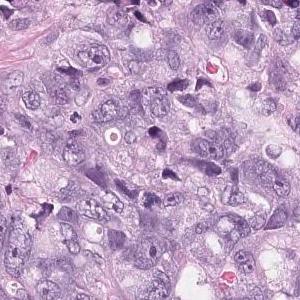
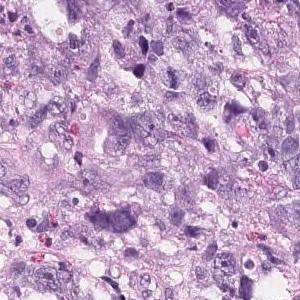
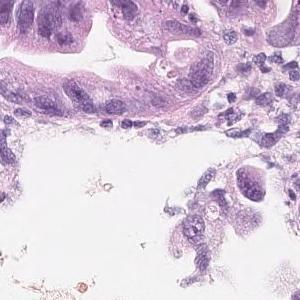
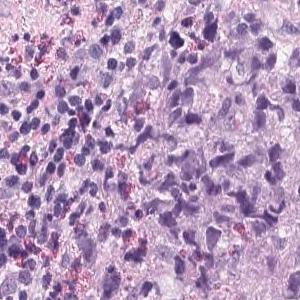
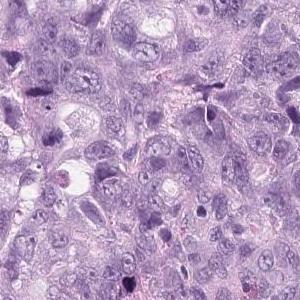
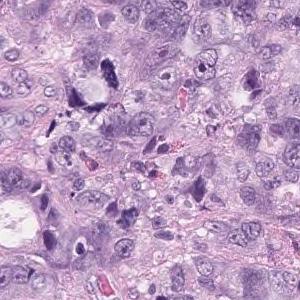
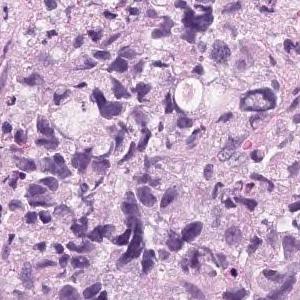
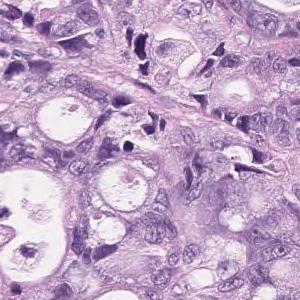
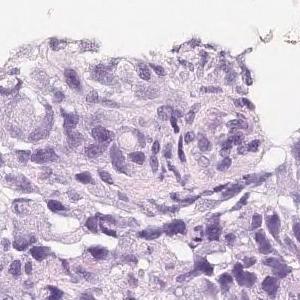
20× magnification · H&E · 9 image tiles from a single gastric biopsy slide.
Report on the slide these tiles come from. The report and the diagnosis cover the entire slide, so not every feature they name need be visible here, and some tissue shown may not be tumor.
Tumor tissue that infiltrates and proliferates by forming small glandular cavities in the superficial layer to the submucosa or forming a mass is observed. moderately differentiated tubular adenocarcinoma
